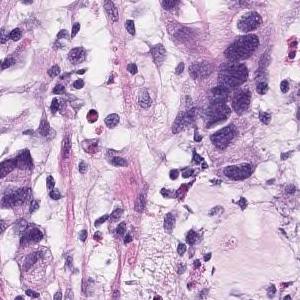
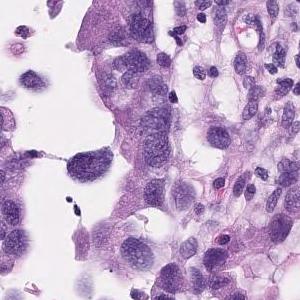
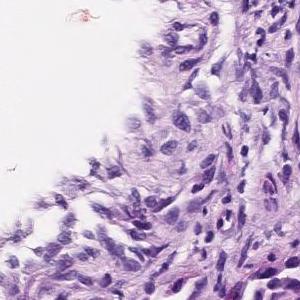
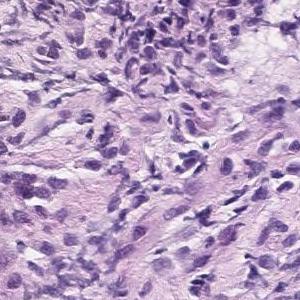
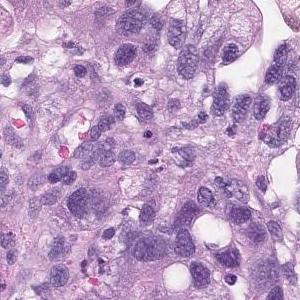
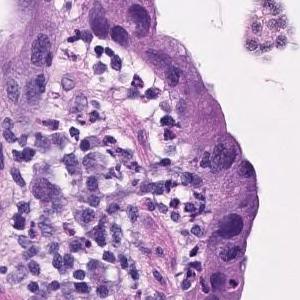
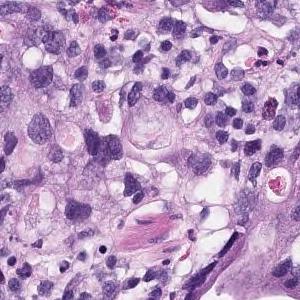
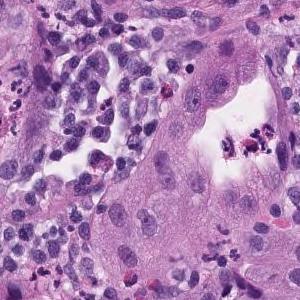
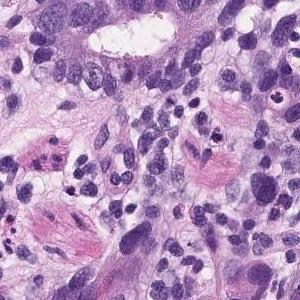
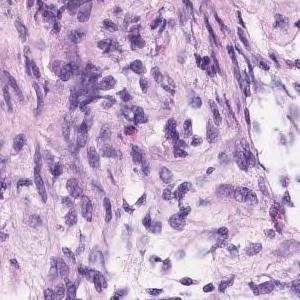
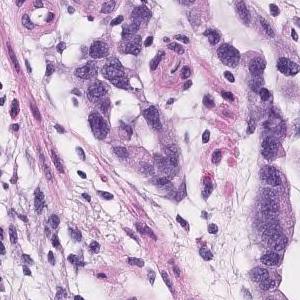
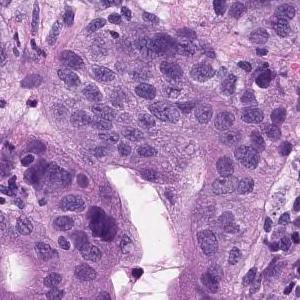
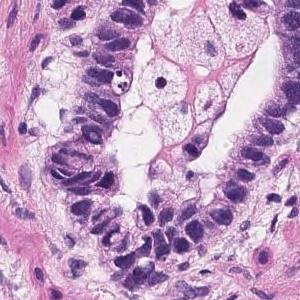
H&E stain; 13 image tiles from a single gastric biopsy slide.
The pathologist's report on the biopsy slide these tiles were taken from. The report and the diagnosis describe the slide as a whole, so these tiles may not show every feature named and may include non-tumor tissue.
Group 5, Adenocarcinoma. Moderately to poorly differentiated adenocarcinoma
